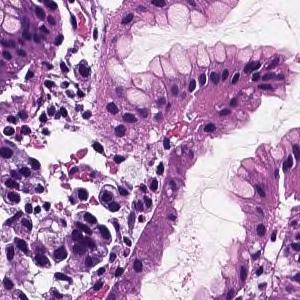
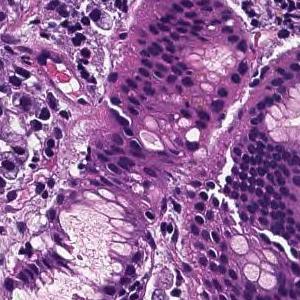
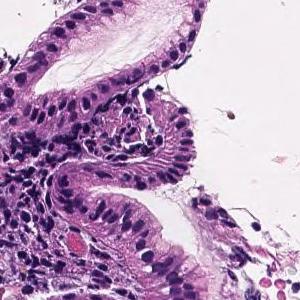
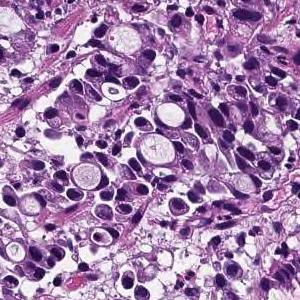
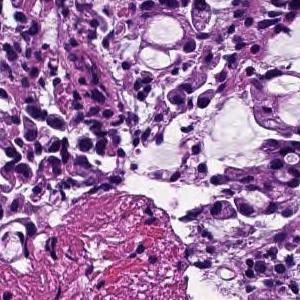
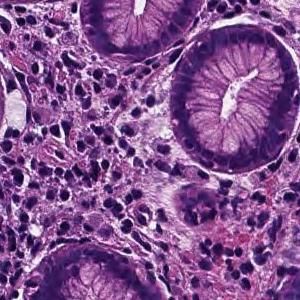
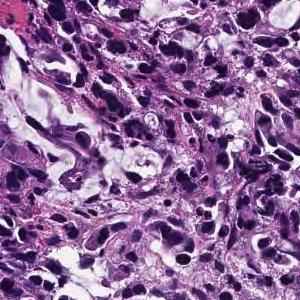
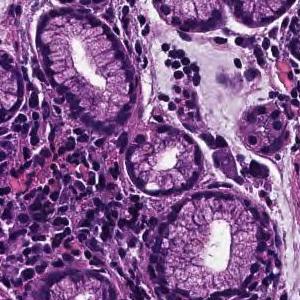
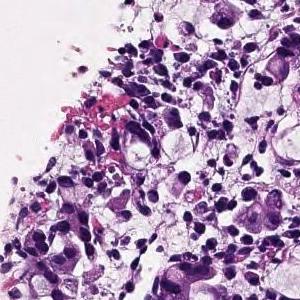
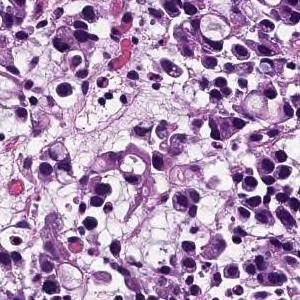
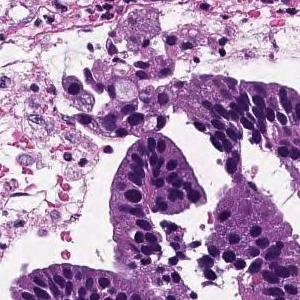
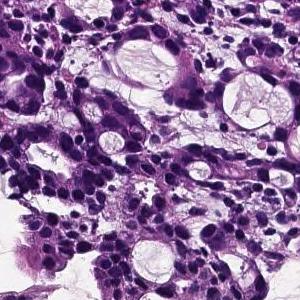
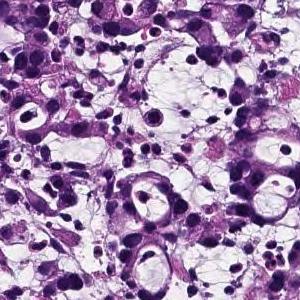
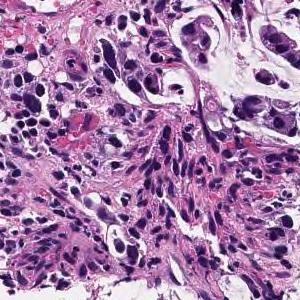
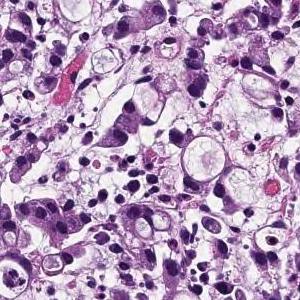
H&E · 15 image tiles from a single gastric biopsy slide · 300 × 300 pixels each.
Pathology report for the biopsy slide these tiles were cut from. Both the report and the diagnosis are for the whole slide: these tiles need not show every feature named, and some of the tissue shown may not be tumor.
Tumor tissue consisting of cord-like or small, irregular glandular ducts fused and infiltrated is observed in the superficial epithelium. Poorly differentiated adenocarcinoma, non-solid type
"Non-solid type" is a category of the Japanese Classification of Gastric Carcinoma.
